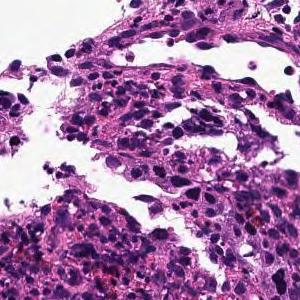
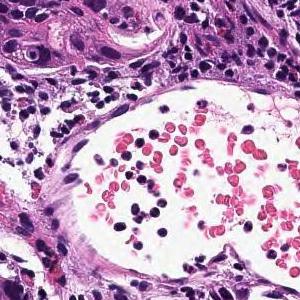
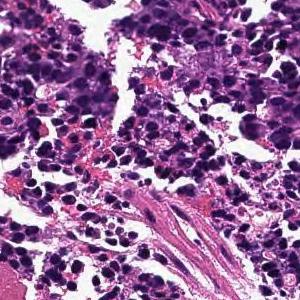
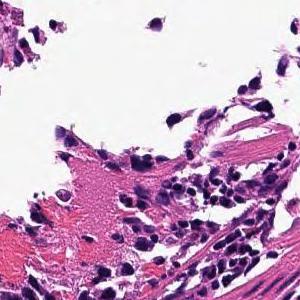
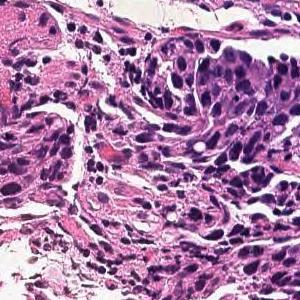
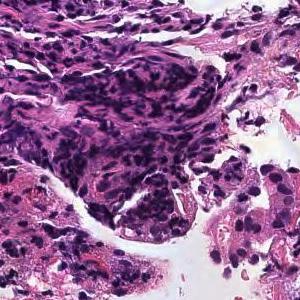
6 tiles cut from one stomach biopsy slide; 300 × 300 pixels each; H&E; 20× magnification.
Report on the slide these tiles come from. Both the report and the diagnosis are for the whole slide: these tiles need not show every feature named, and some of the tissue shown may not be tumor.
In the superficial epithelium, tumor tissue that invades by forming medium-sized to small, irregular ducts is observed. moderately differentiated tubular adenocarcinoma.
